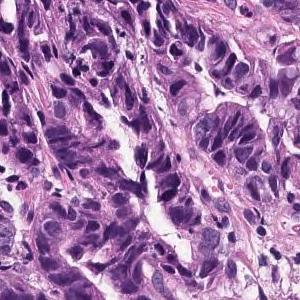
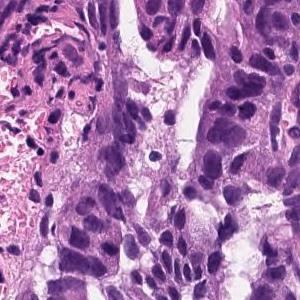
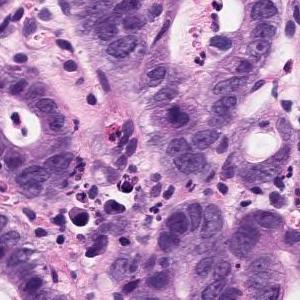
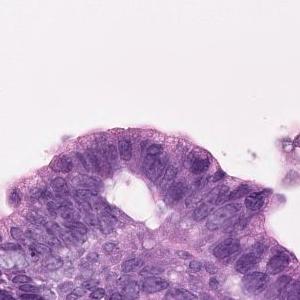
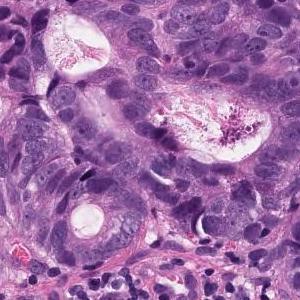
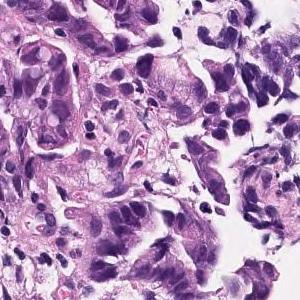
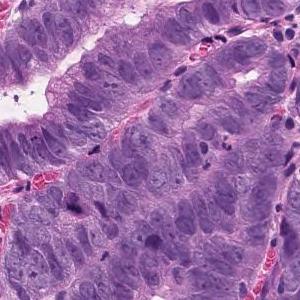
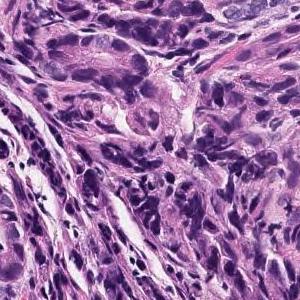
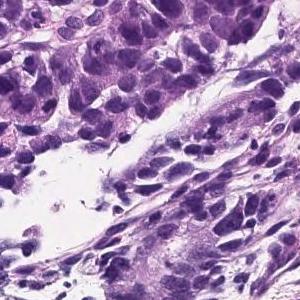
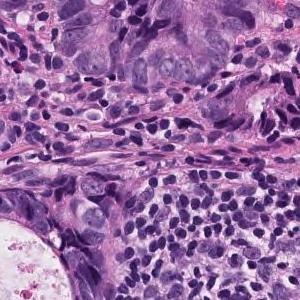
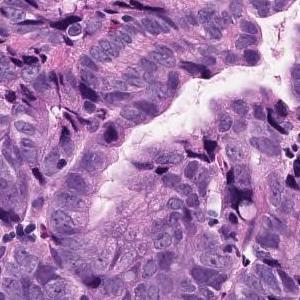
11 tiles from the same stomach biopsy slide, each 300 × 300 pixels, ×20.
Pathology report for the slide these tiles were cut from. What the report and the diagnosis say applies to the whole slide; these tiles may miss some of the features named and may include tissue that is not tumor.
The swollen atypical epithelium of the nucleus forms an irregular ductal structure and proliferates. moderately differentiated tubular adenocarcinoma
